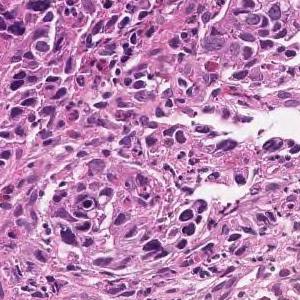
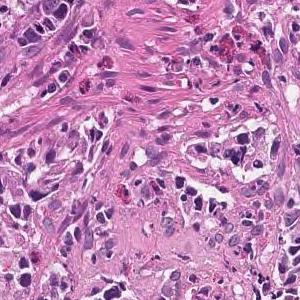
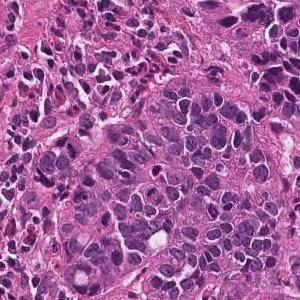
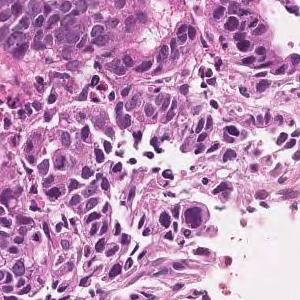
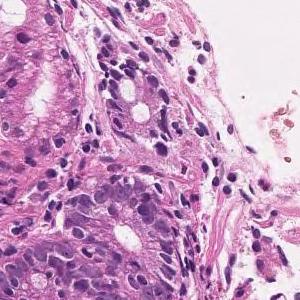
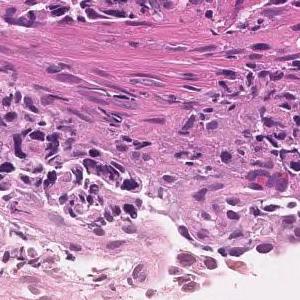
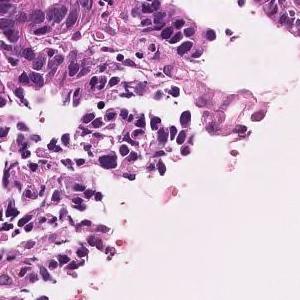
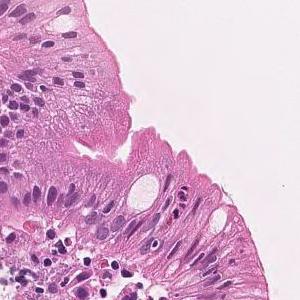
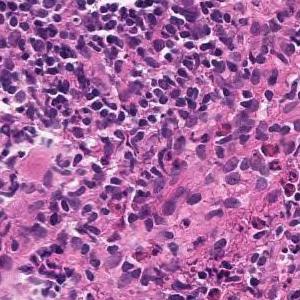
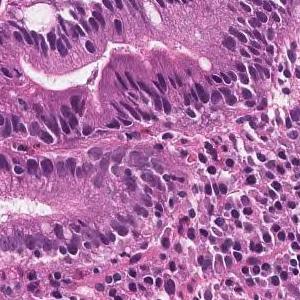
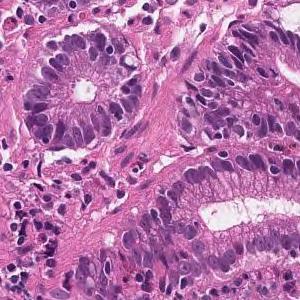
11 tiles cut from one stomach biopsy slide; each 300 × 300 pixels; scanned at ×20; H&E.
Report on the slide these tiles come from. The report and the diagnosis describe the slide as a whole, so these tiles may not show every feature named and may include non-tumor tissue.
Medium to small, irregular glandular ducts are formed in the superficial epithelium, and in some cases, the glandular ducts are fused to show solid alveolar lesions and infiltrating tumor tissue is observed. Moderately to poorly differentiated adenocarcinoma.
